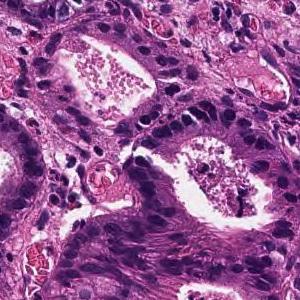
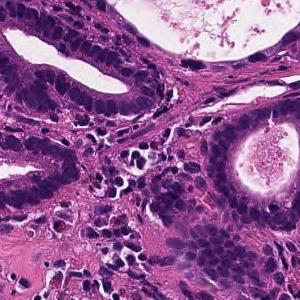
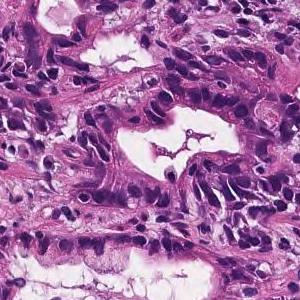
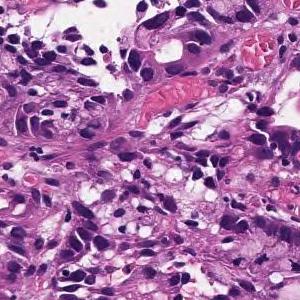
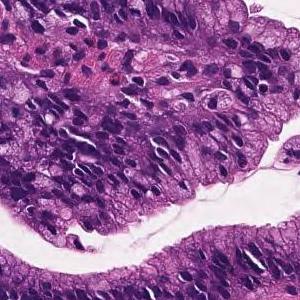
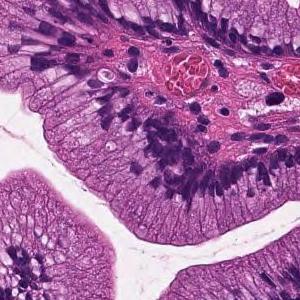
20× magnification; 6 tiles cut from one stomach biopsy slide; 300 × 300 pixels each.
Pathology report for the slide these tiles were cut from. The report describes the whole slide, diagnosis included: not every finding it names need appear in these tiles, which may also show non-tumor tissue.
On the superficial epithelium, tumor tissue consisting of medium-sized and irregular glandular ducts partially fused and infiltrated is observed. Well to moderately differentiated tubular adenocarcinoma (well differentiated tubular adenocarcinoma-moderately differentiated tubular adenocarcinoma)
Subtype: Well to moderately differentiated tubular adenocarcinoma.
